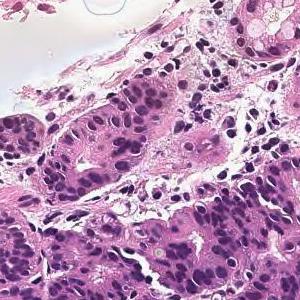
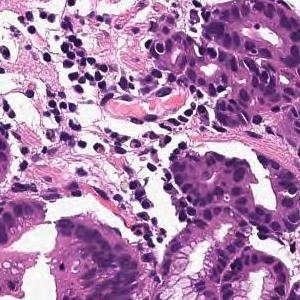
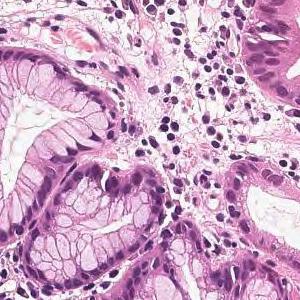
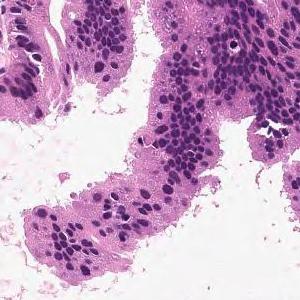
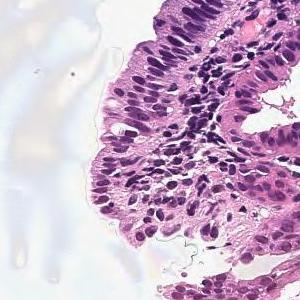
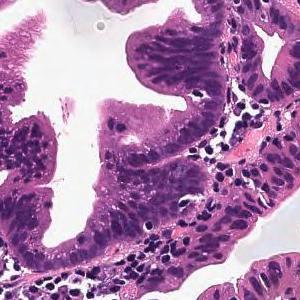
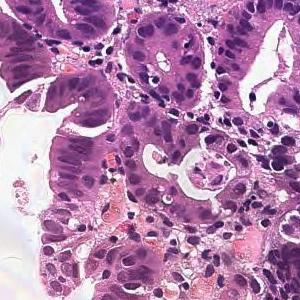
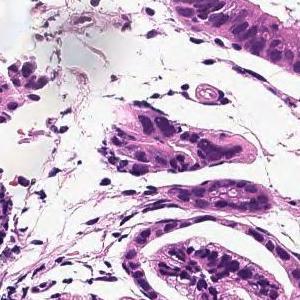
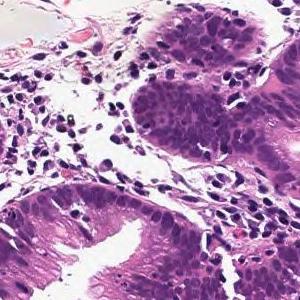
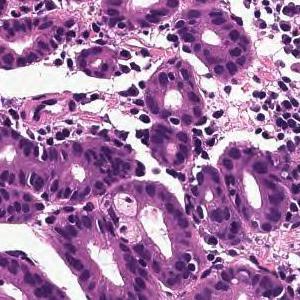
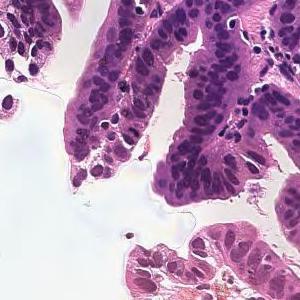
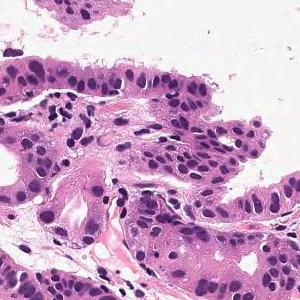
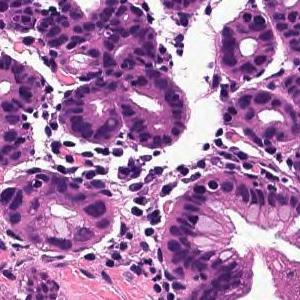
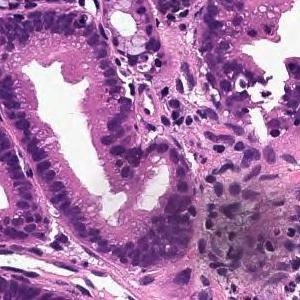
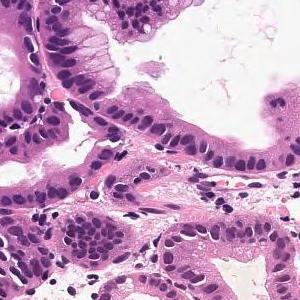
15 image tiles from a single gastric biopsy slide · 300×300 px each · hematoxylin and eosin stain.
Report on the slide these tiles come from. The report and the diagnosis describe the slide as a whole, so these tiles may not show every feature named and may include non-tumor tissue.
Cells with elliptical or atypical nuclei form dense ducts with relatively clear growth. Well differentiated tubular adenocarcinoma
